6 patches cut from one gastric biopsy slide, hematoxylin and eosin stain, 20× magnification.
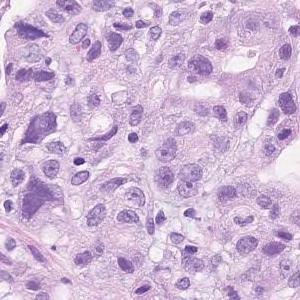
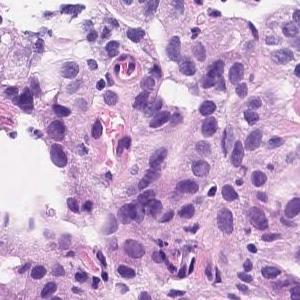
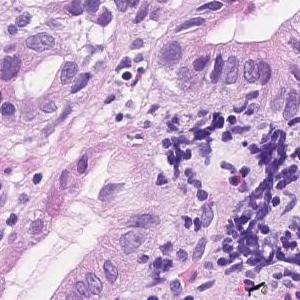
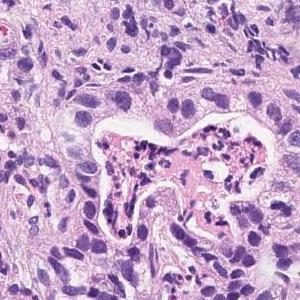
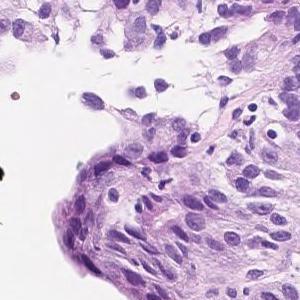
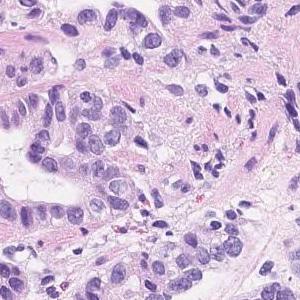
The pathologist's report on the biopsy slide these tiles were taken from. What the report and the diagnosis say applies to the whole slide; these tiles may miss some of the features named and may include tissue that is not tumor.
In the superficial epithelium, tumor tissue that invades by forming medium-sized to small, irregular ducts is observed. Moderately to poorly differentiated adenocarcinoma
